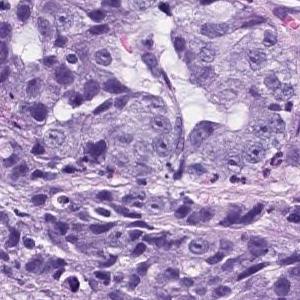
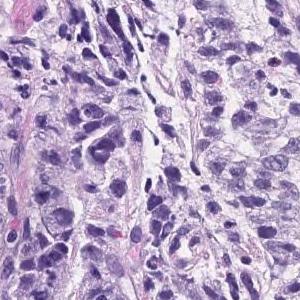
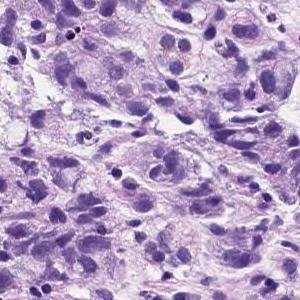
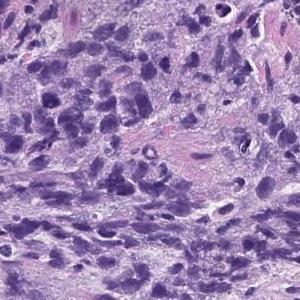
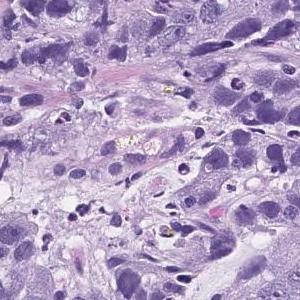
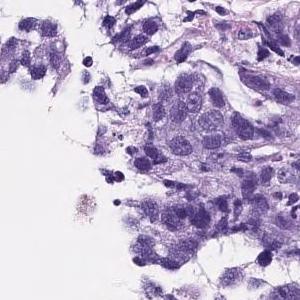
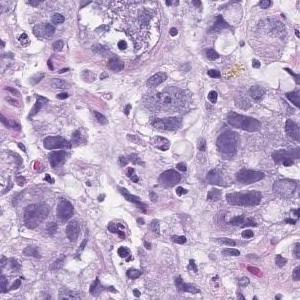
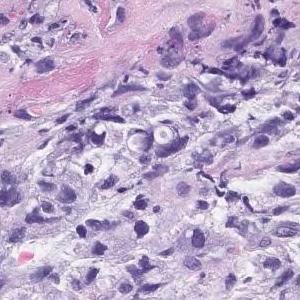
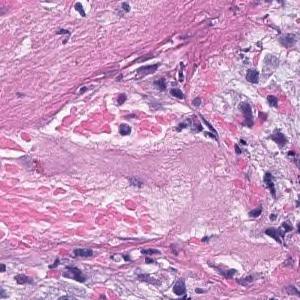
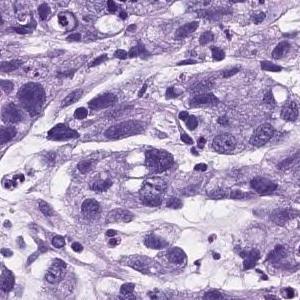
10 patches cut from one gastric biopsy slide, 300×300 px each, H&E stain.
Report on the slide these tiles come from. The report and the diagnosis cover the entire slide, so not every feature they name need be visible here, and some tissue shown may not be tumor.
Atypical l cells with atypical nuclei forming solid vesicles or small irregular atypical ducts that proliferate in a complex manner. poorly differentiated adenocarcinoma, solid type, moderately differentiated tubular adenocarcinoma
The term "solid type" comes from the Japanese Classification of Gastric Carcinoma; the WHO 2019 equivalent is tubular adenocarcinoma, poorly differentiated.
